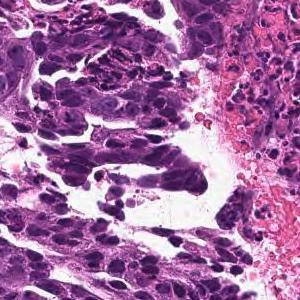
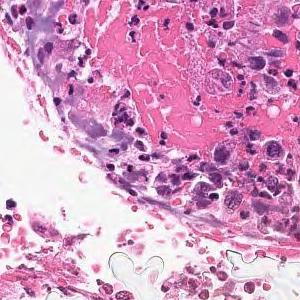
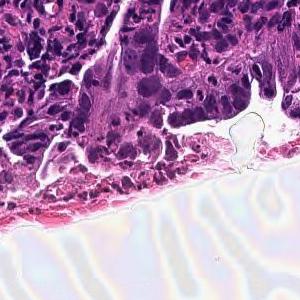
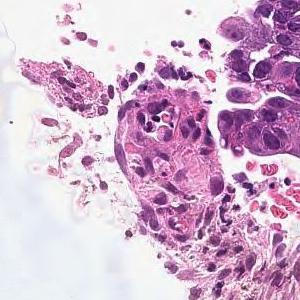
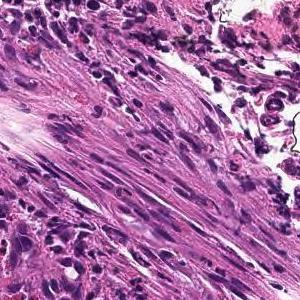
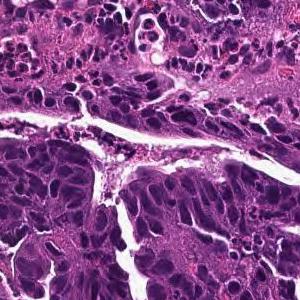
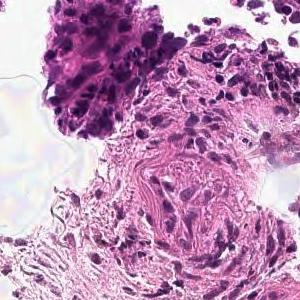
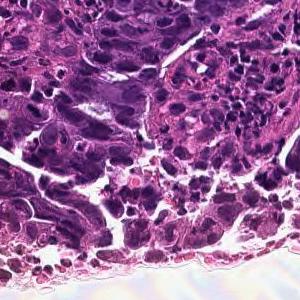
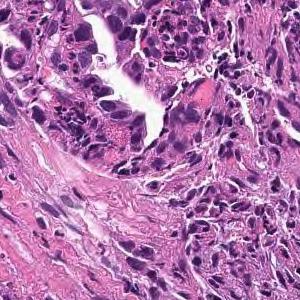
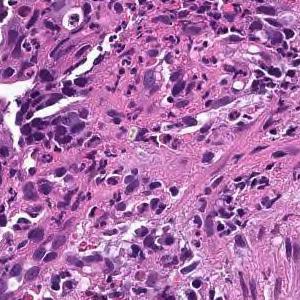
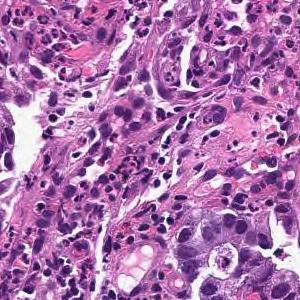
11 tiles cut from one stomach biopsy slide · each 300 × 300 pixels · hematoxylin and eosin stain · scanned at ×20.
Report on the slide these tiles come from. The report describes the whole slide, diagnosis included: not every finding it names need appear in these tiles, which may also show non-tumor tissue.
In the superficial epithelium, tumor tissue that invades by forming medium-sized to small, irregular ducts is observed. moderately differentiated tubular adenocarcinoma.
